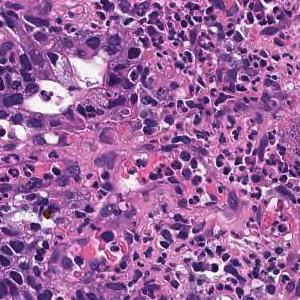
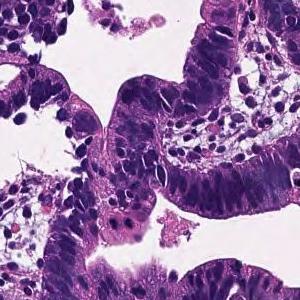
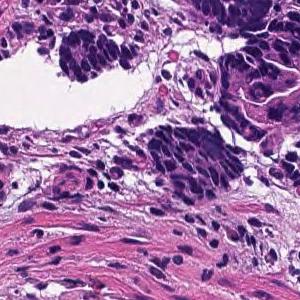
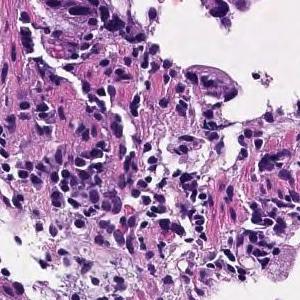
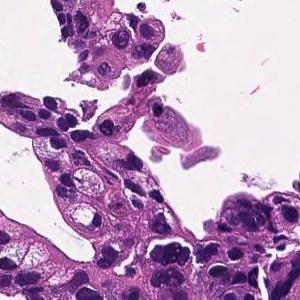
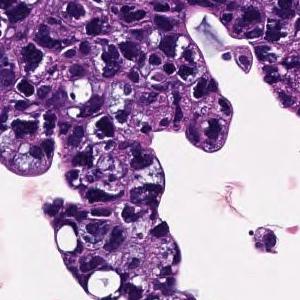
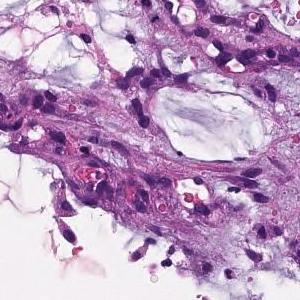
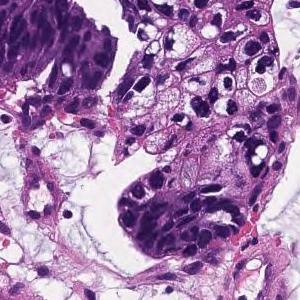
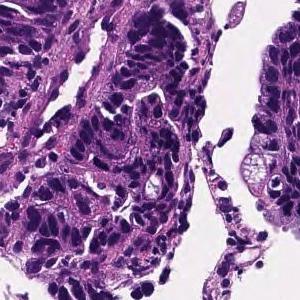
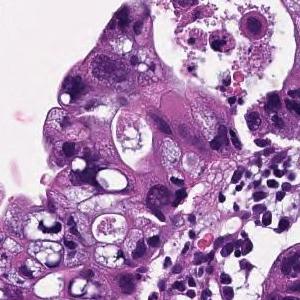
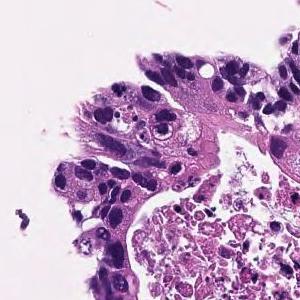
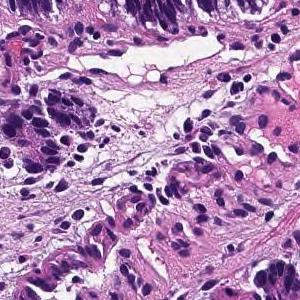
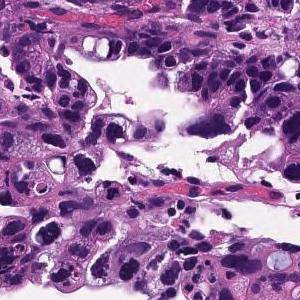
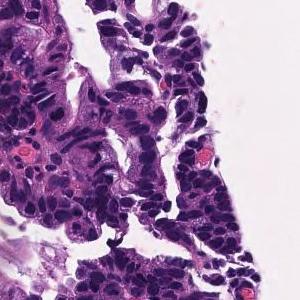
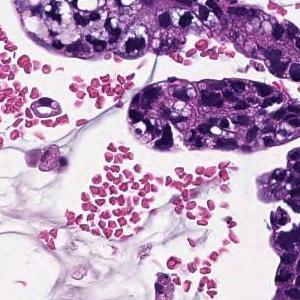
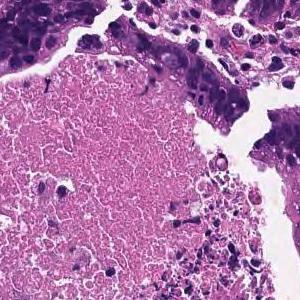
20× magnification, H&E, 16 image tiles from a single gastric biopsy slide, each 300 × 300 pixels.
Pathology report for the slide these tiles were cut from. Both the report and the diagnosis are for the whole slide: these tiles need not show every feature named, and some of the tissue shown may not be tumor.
In the superficial epithelium, tumor tissue that invades by forming medium-sized to small, irregular ducts is observed. moderately differentiated tubular adenocarcinoma.
